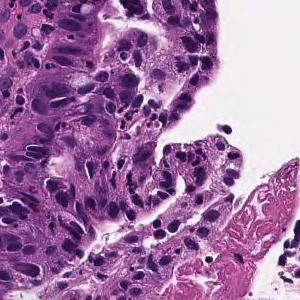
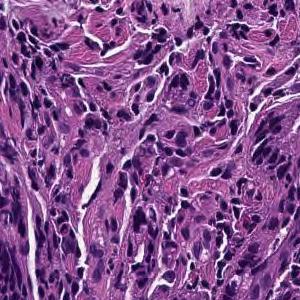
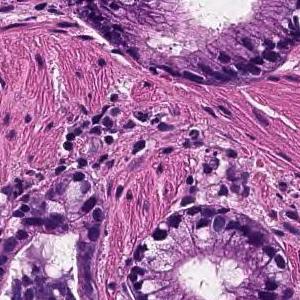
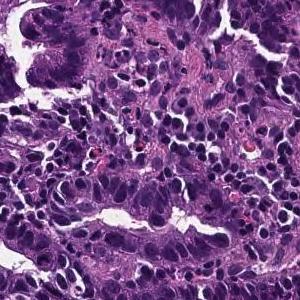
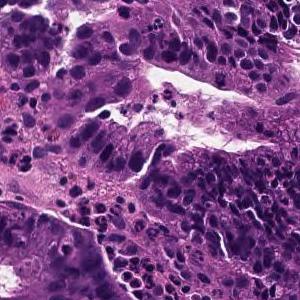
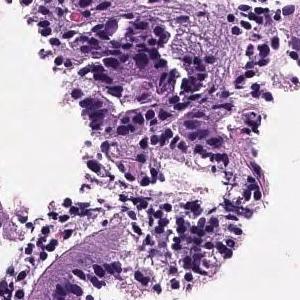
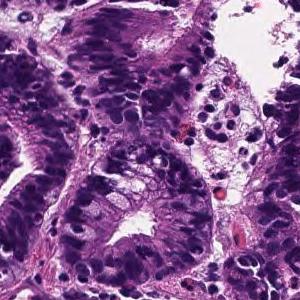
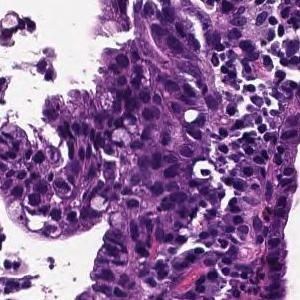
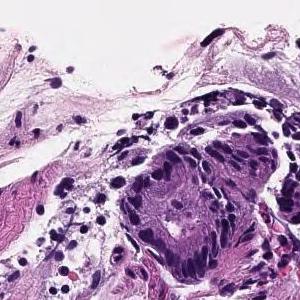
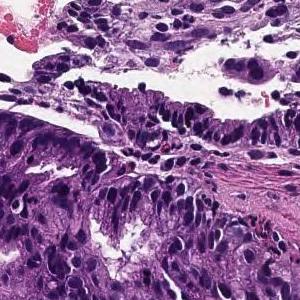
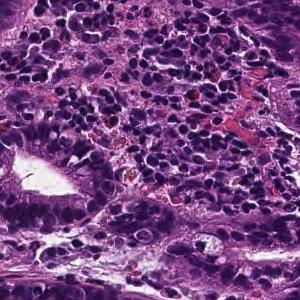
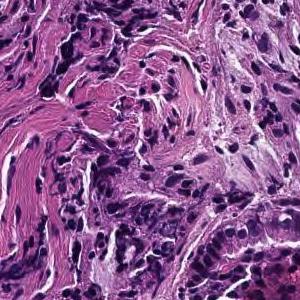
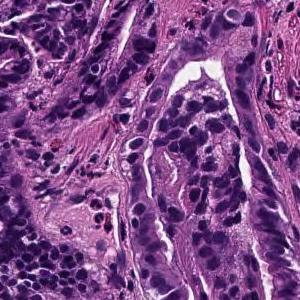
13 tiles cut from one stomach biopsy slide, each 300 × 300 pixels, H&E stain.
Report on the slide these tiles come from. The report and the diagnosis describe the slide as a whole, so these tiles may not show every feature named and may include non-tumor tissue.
From the superficial epithelium to the muscularis mucosae, tumor tissue consisting of medium-sized and irregular glandular ducts infiltrating is observed. Well differentiated tubular adenocarcinoma
